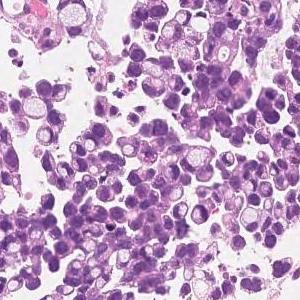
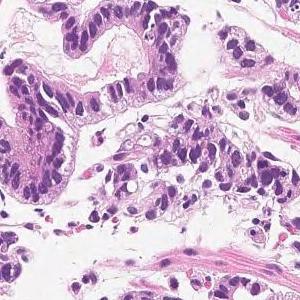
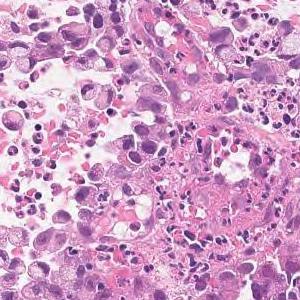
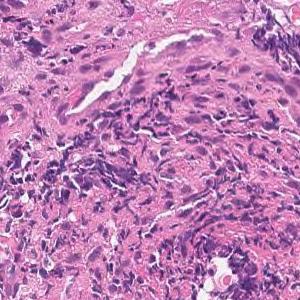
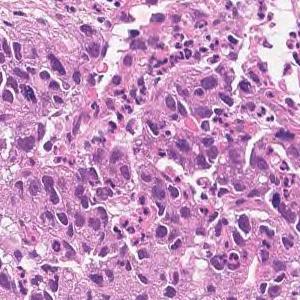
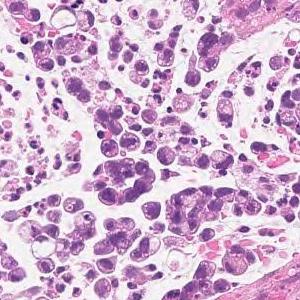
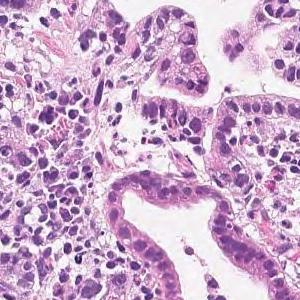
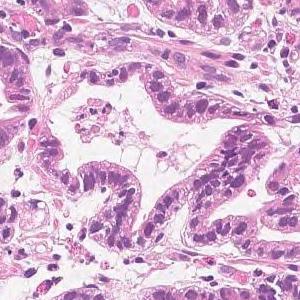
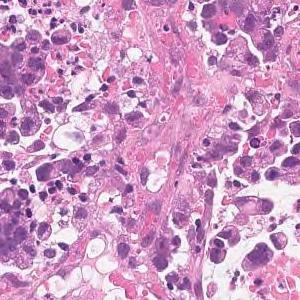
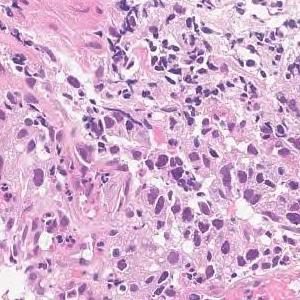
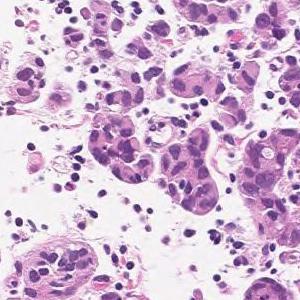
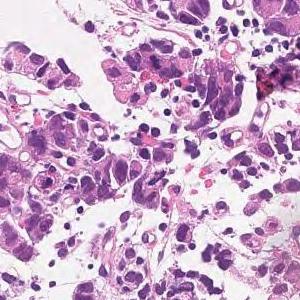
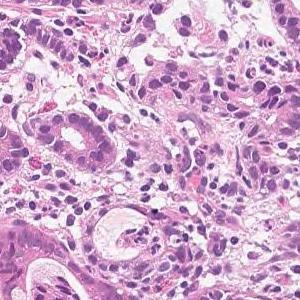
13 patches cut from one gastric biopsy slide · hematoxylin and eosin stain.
Report on the slide these tiles come from. What the report and the diagnosis say applies to the whole slide; these tiles may miss some of the features named and may include tissue that is not tumor.
Medium to small, irregular glandular ducts are formed in the superficial epithelium, and in some cases, the glandular ducts are fused to show solid alveolar lesions and infiltrating tumor tissue is observed. Moderately to poorly differentiated adenocarcinoma.
